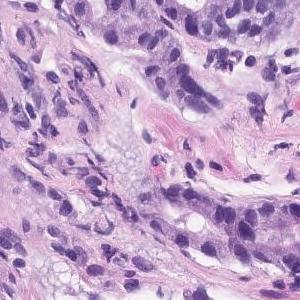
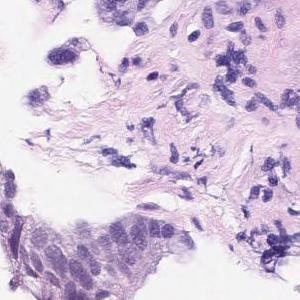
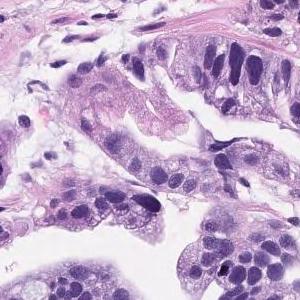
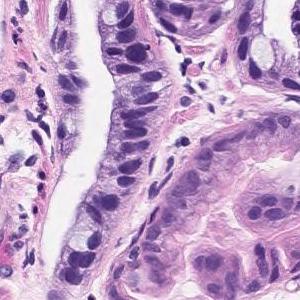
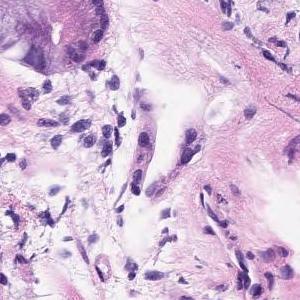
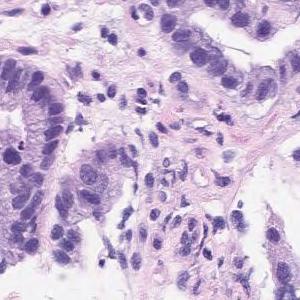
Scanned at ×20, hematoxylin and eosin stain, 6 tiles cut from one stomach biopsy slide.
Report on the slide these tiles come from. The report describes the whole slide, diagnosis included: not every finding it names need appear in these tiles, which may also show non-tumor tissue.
The superficial tumors shows large papillary structures or large and small ducts and infiltrates. Papillary adenocarcinoma.
